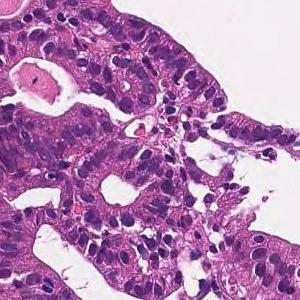
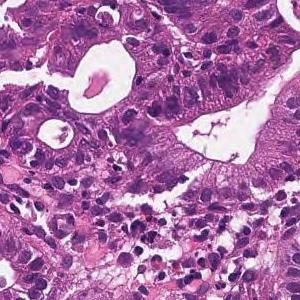
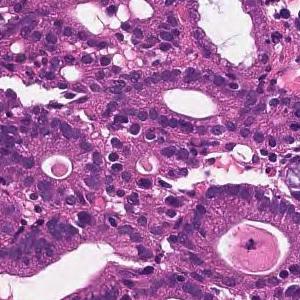
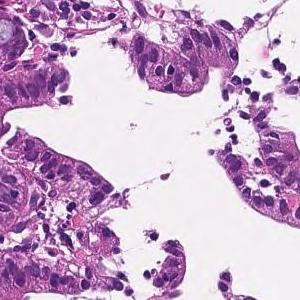
4 patches cut from one gastric biopsy slide, each 300 × 300 pixels, ×20.
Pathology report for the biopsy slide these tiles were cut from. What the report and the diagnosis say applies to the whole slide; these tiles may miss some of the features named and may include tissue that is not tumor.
On the superficial epithelium, tumor tissue consisting of medium-sized irregular glandular ducts partially fused and infiltrated is observed. Well to moderately differentiated tubular adenocarcinoma (well differentiated tubular adenocarcinoma-moderately differentiated tubular adenocarcinoma)
Histologic type: Well to moderately differentiated tubular adenocarcinoma.
